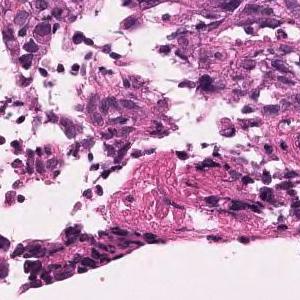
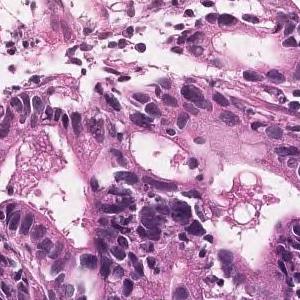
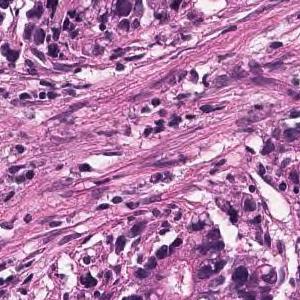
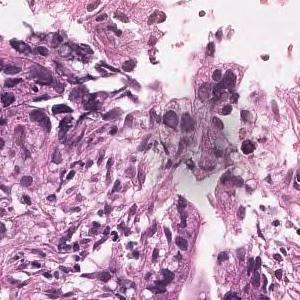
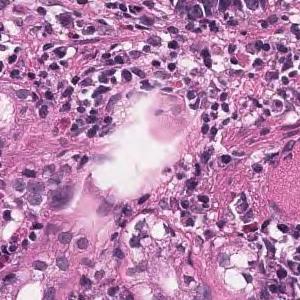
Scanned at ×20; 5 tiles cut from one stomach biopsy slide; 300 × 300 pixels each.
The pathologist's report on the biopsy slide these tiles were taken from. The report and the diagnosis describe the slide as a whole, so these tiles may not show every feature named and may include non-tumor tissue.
In the superficial epithelium, tumor tissue is found in which medium-sized irregular gland ducts fuse with each other and infiltrate. moderately differentiated tubular adenocarcinoma
